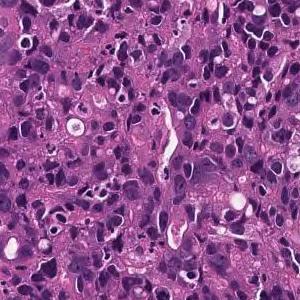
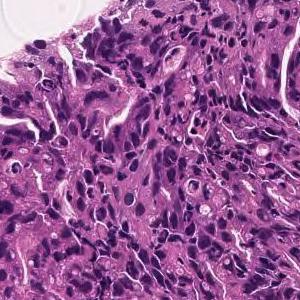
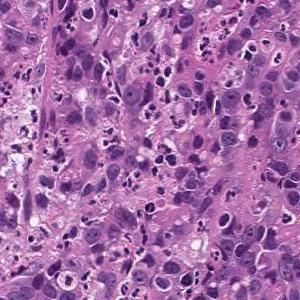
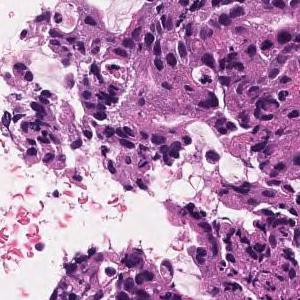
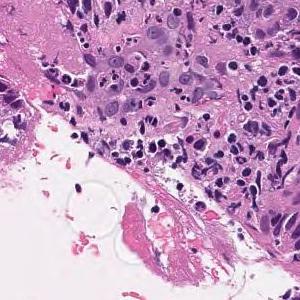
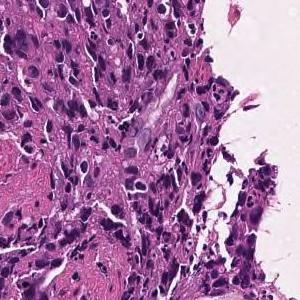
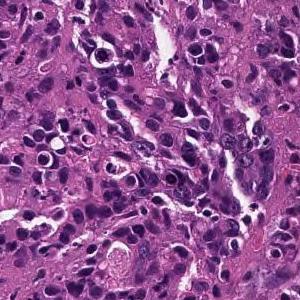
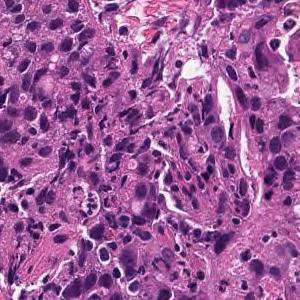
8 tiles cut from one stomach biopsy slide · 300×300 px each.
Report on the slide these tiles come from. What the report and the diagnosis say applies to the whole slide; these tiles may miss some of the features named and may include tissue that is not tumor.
In the superficial epithelium, tumor tissue that invades by forming medium-sized to small, irregular ducts is observed. moderately differentiated tubular adenocarcinoma.
